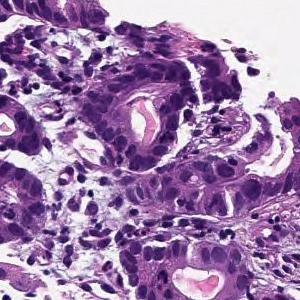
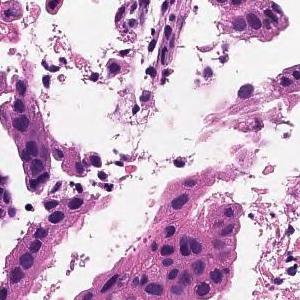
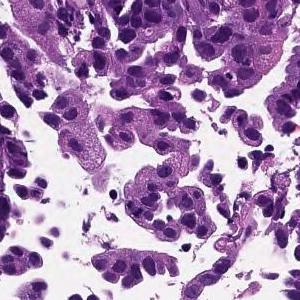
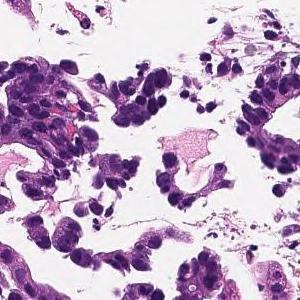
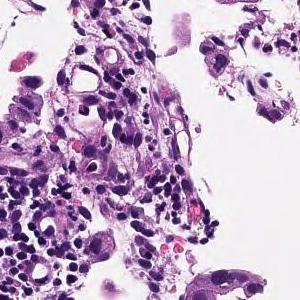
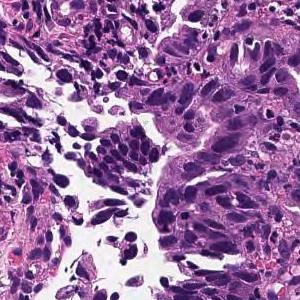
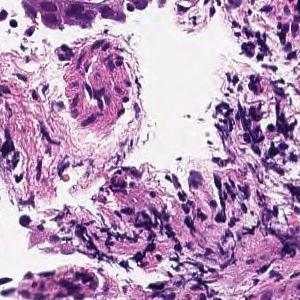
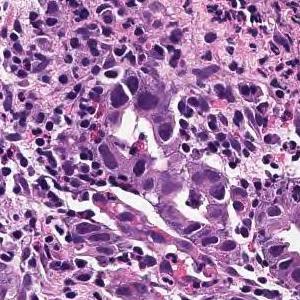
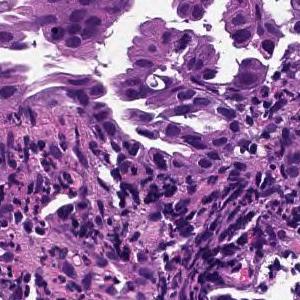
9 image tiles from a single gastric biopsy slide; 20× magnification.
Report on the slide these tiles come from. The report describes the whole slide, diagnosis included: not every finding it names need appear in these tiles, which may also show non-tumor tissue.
In the superficial epithelium, tumor tissue that invades by forming medium-sized to small, irregular ducts is observed. moderately differentiated tubular adenocarcinoma.
